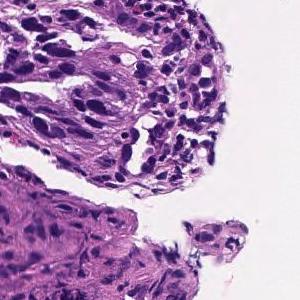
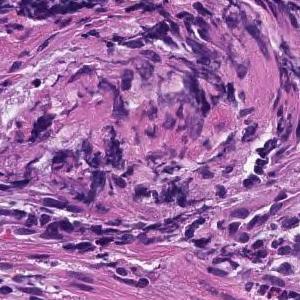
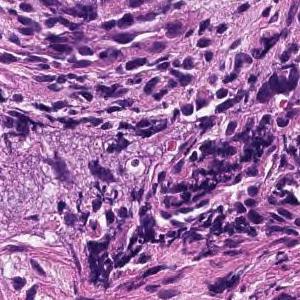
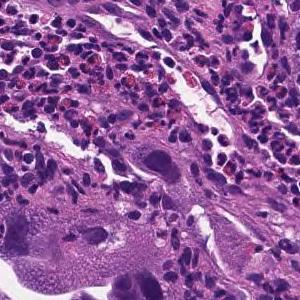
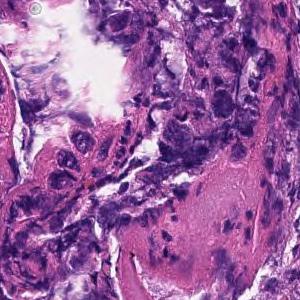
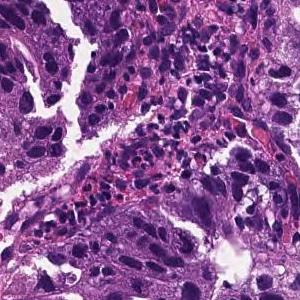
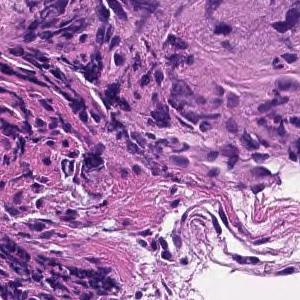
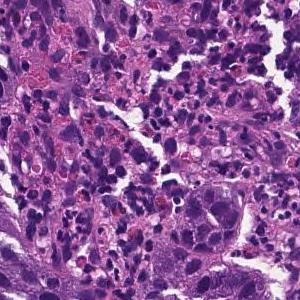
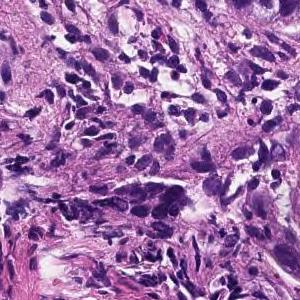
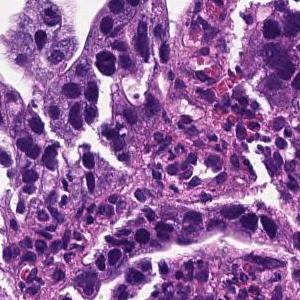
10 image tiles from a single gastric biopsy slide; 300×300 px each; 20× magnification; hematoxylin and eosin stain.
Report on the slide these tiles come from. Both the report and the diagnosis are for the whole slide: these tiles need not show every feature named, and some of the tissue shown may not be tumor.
Tumor tissue consisting of large papillary structures is found in the superficial epithelium. Papillary adenocarcinoma.
